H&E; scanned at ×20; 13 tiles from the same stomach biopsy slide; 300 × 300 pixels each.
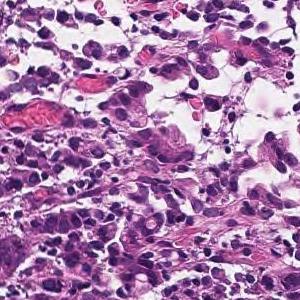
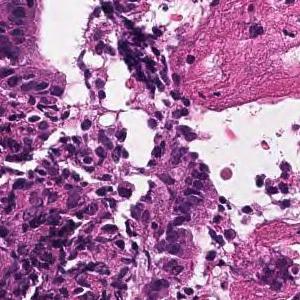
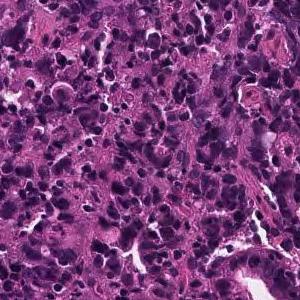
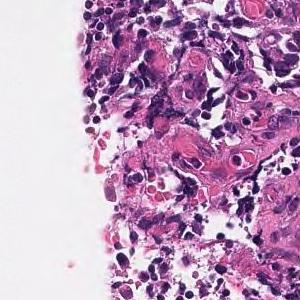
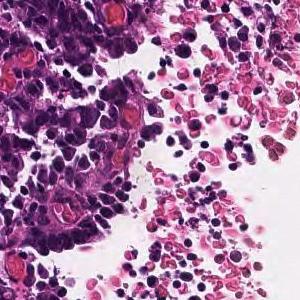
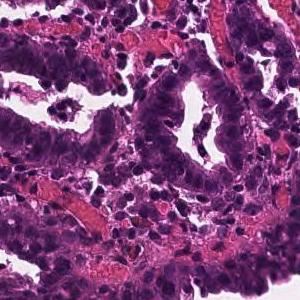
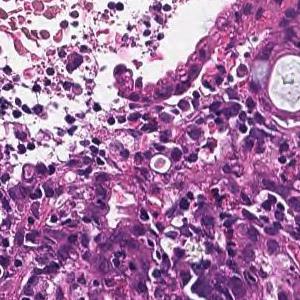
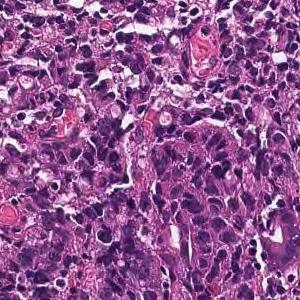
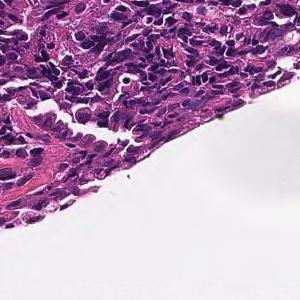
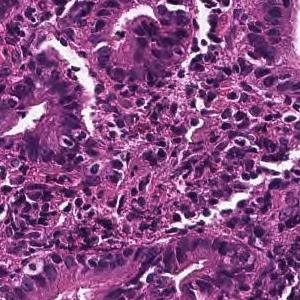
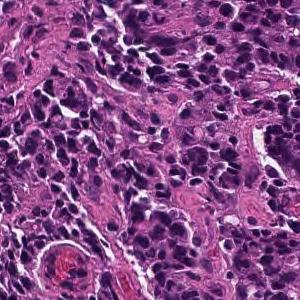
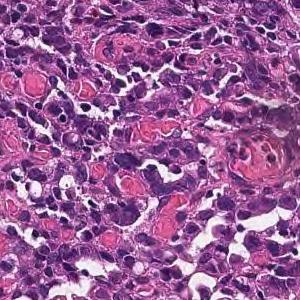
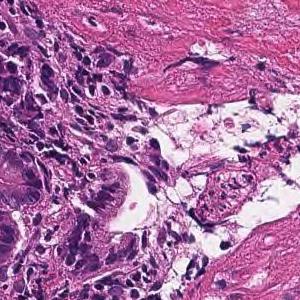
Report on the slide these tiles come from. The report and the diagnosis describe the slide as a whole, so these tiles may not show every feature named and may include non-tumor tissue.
In the superficial epithelium, tumor tissue that invades by forming medium-sized to small, irregular ducts is observed. moderately differentiated tubular adenocarcinoma.
